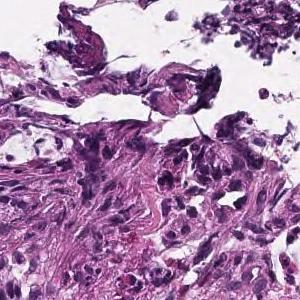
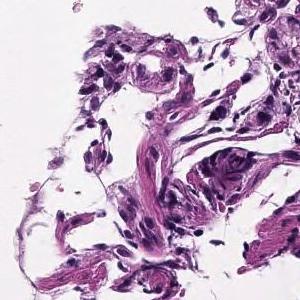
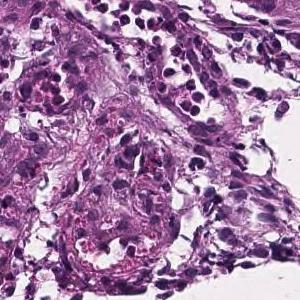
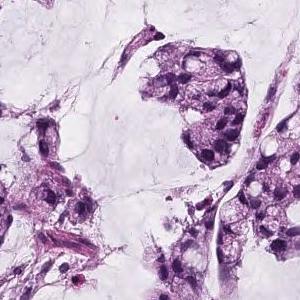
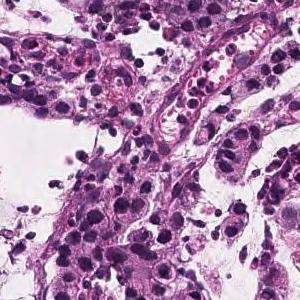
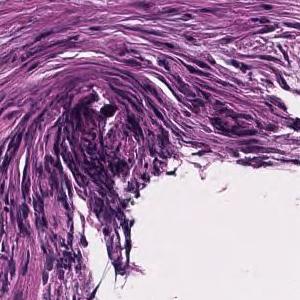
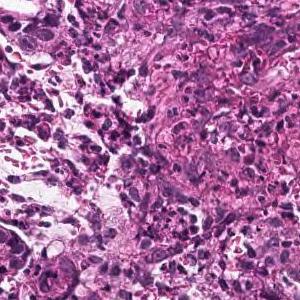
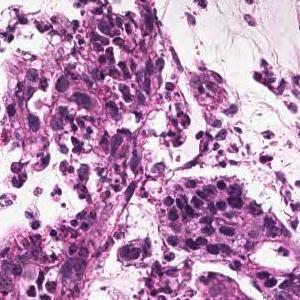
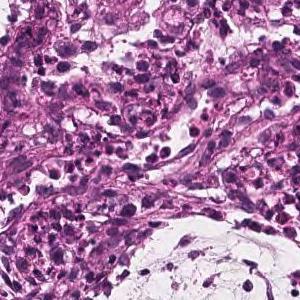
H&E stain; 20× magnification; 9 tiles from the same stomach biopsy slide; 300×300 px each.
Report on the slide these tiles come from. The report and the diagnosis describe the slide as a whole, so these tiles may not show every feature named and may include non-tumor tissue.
Atypical epithelial cells form obscure ductal structures or small solid follicles, and tumor tissue that proliferates invasively with proliferation of inflammatory granulation tissue is observed. Mucinous adenocarcinoma .
